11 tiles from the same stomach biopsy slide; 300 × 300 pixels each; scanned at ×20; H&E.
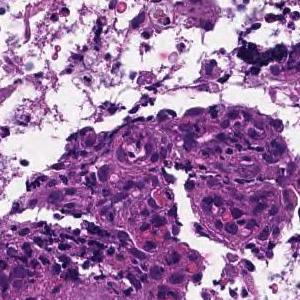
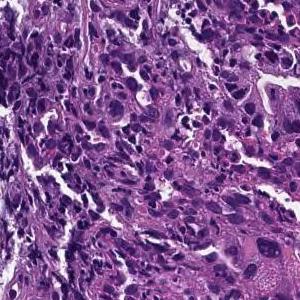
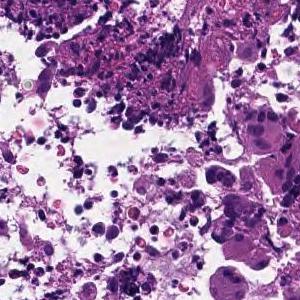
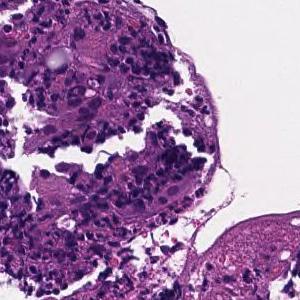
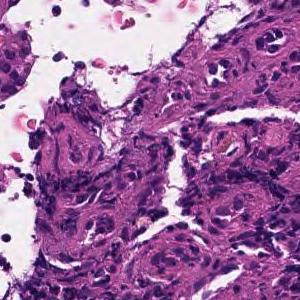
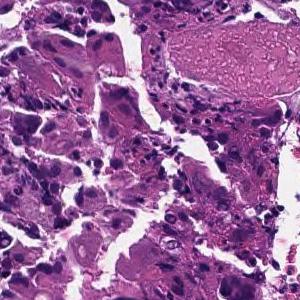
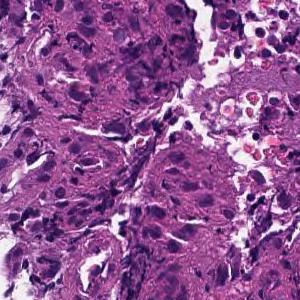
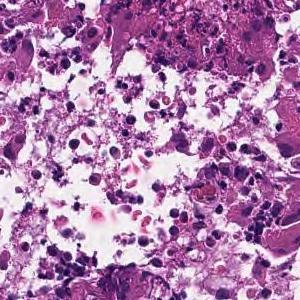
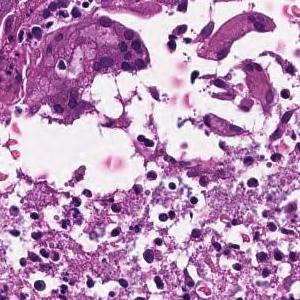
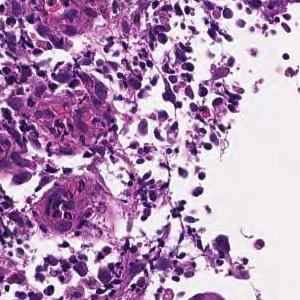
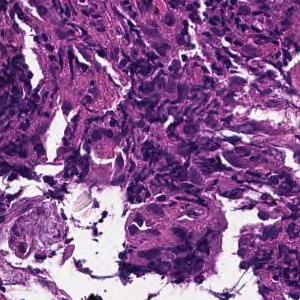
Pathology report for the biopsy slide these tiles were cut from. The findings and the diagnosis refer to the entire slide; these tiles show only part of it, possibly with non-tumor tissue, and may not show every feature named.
Tumor cells are medium to large, cuboidal, and have little tendency to differentiate. Poorly differentiated adenocarcinoma, solid-type  or moderately differentiated tubular adenocarcinoma
Labeled in the dataset as poorly differentiated adenocarcinoma, solid type. This name comes from the Japanese Classification of Gastric Carcinoma; the WHO 2019 classification calls it tubular adenocarcinoma, poorly differentiated.
